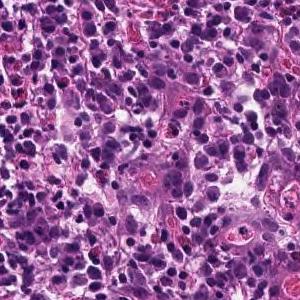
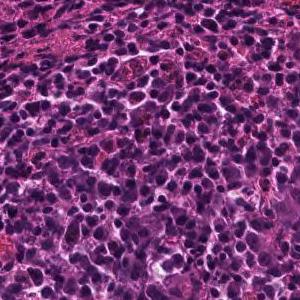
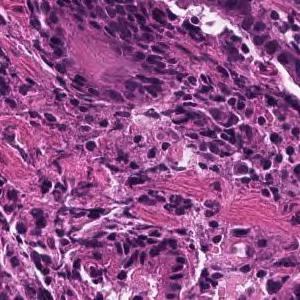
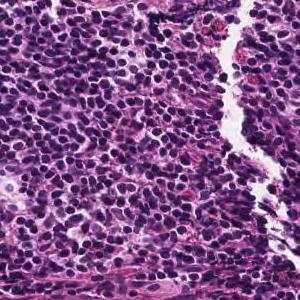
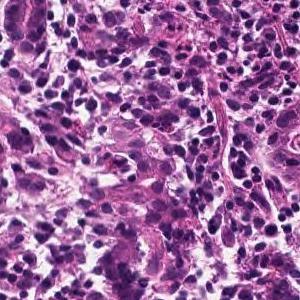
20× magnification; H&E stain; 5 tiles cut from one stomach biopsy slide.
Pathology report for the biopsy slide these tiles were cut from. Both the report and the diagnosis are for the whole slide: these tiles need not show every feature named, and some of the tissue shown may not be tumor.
Tumor tissue consisting of medium-sized, cord-like or irregular glandular infiltration is observed in the superficial epithelium. Poorly differentiated adenocarcinoma, non-solid type or moderately differentiated tubular adenocarcinoma
The dataset labels this slide poorly differentiated adenocarcinoma, non-solid type.
"Non-solid type" is a category of the Japanese Classification of Gastric Carcinoma.
